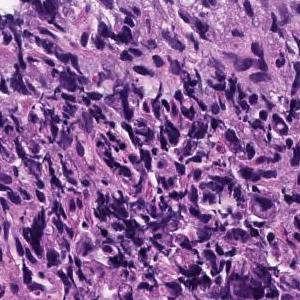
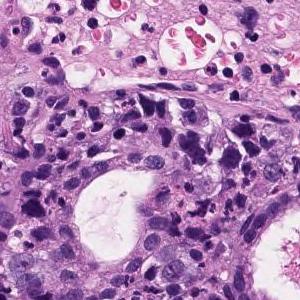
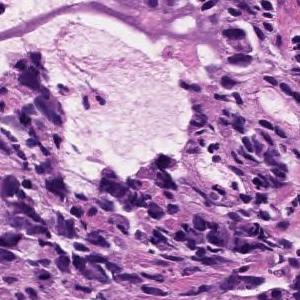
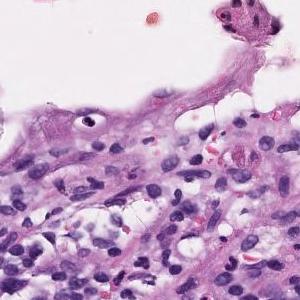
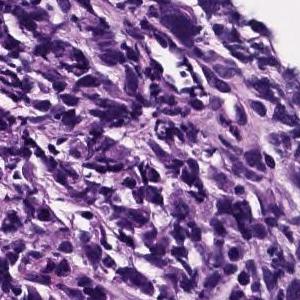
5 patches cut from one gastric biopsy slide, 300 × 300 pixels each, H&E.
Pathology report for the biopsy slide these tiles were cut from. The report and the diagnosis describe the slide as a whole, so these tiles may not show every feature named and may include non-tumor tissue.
Poorly differentiated, solid adenocarcinoma (poorly differentiated adenocarcinoma, solid type) with tumor tissue diffusely infiltrated with atypical epithelial cells
Histologic type: Poorly differentiated adenocarcinoma, solid type (Japanese Classification of Gastric Carcinoma). The WHO 2019 equivalent is tubular adenocarcinoma, poorly differentiated.
